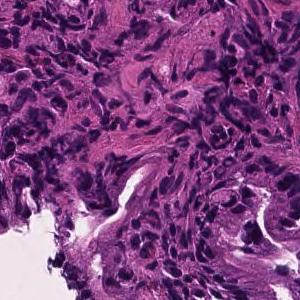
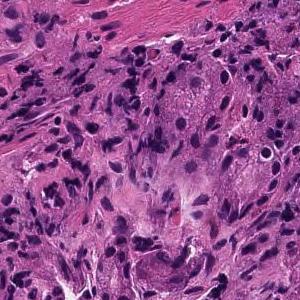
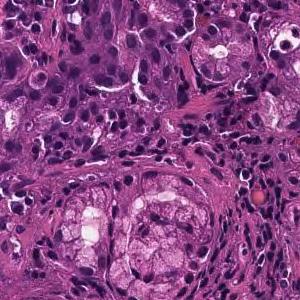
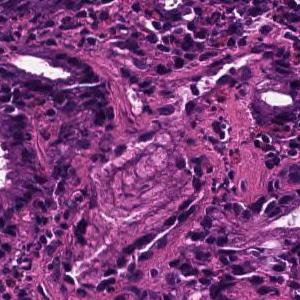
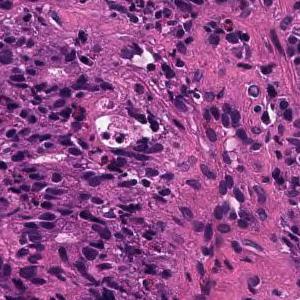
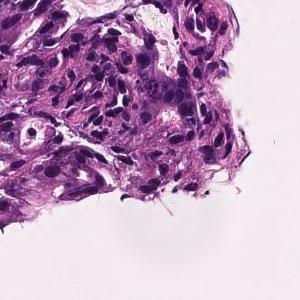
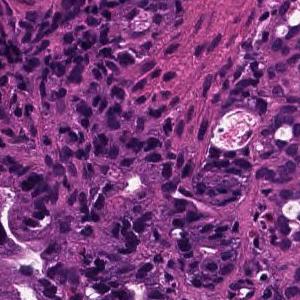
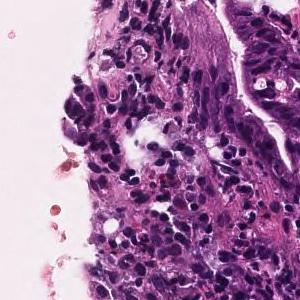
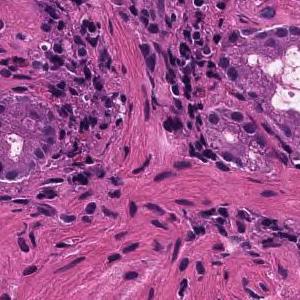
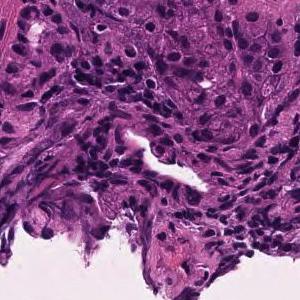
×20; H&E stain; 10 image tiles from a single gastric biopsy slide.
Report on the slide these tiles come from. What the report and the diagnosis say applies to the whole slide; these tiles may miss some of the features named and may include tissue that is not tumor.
In the superficial epithelium, tumor tissue that invades by forming medium-sized to small, irregular ducts is observed. moderately differentiated tubular adenocarcinoma.
